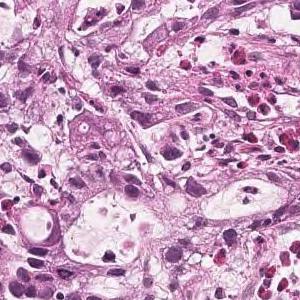
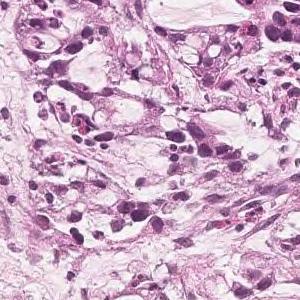
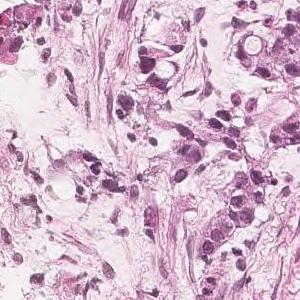
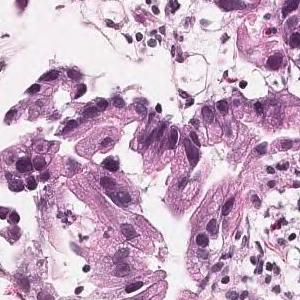
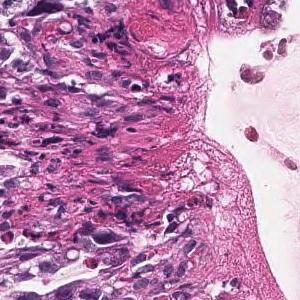
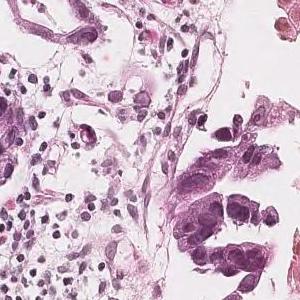
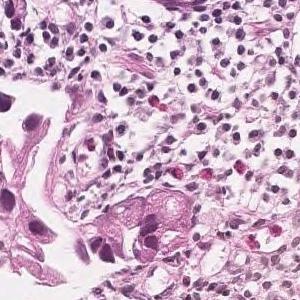
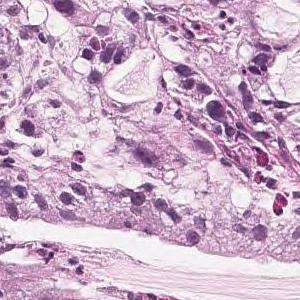
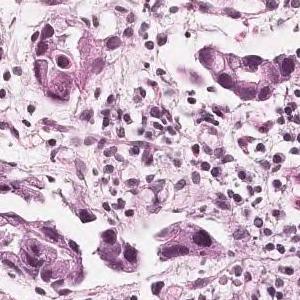
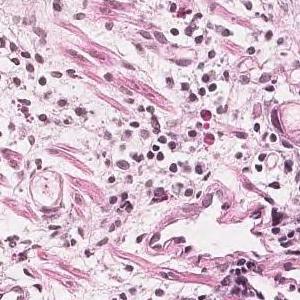
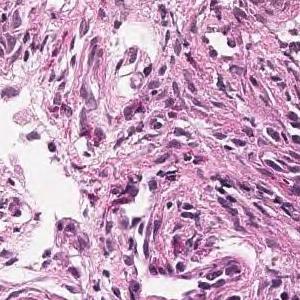
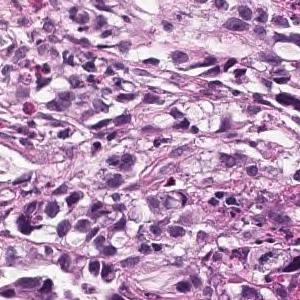
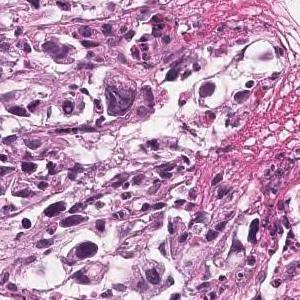
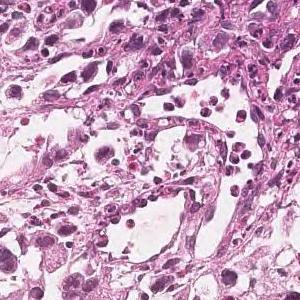
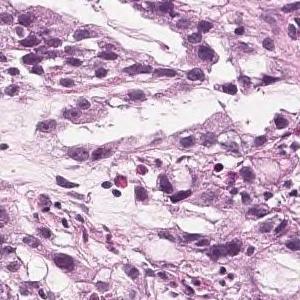
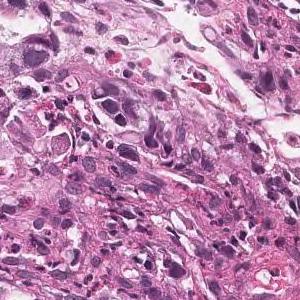
20× magnification · H&E stain · 16 patches cut from one gastric biopsy slide · 300×300 px each.
Diagnostic report for the slide these tiles come from. Both the report and the diagnosis are for the whole slide: these tiles need not show every feature named, and some of the tissue shown may not be tumor.
Tumor tissue consisting of medium-sized, cord-like or irregular glandular infiltration is observed in the superficial epithelium. Poorly differentiated adenocarcinoma, non-solid type or moderately differentiated tubular adenocarcinoma
The non-solid type named here is a Japanese Classification of Gastric Carcinoma category.
